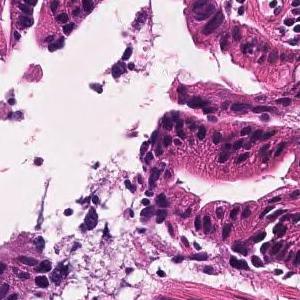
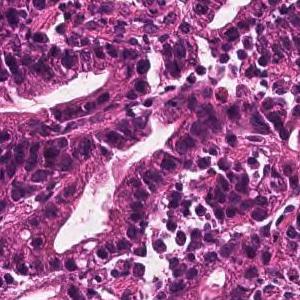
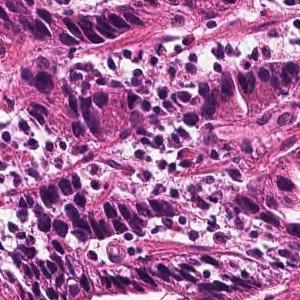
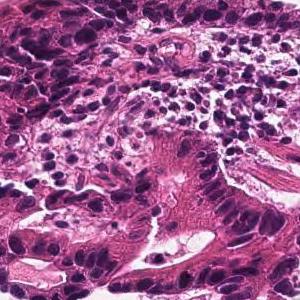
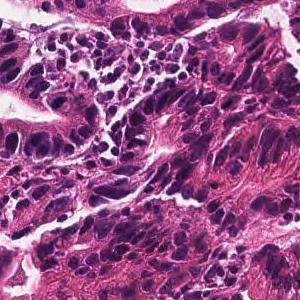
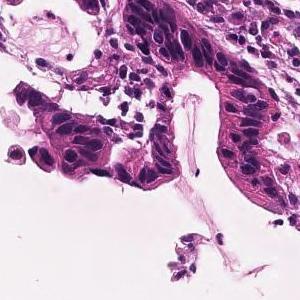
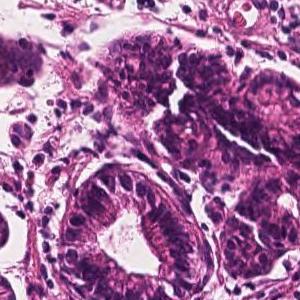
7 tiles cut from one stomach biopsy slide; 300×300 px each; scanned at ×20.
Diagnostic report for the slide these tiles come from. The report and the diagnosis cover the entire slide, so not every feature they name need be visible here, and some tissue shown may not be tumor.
In the superficial epithelium, tumor tissue that invades by forming medium-sized to small, irregular ducts is observed. moderately differentiated tubular adenocarcinoma.
